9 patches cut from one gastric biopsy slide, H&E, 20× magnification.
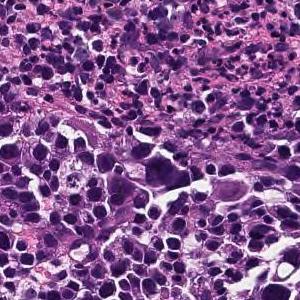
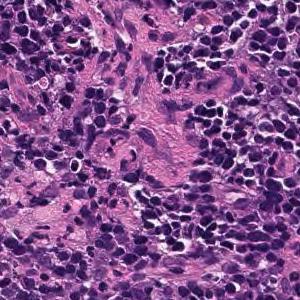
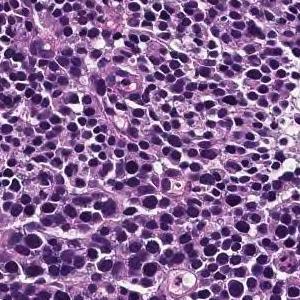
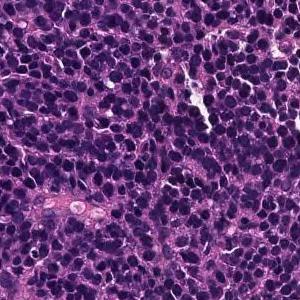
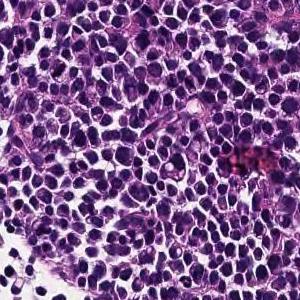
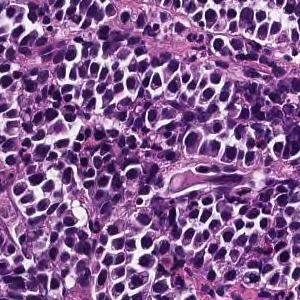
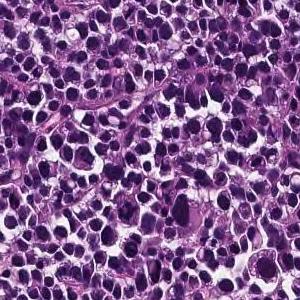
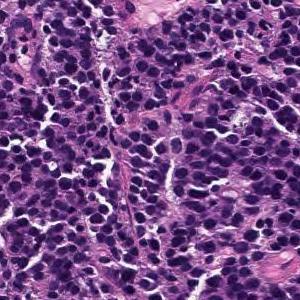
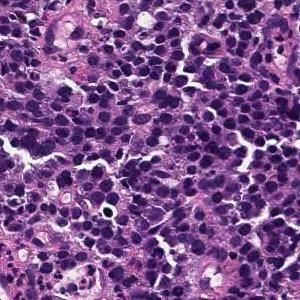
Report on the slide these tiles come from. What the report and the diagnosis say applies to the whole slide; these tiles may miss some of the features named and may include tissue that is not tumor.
Large sheet-like or diffusely infiltrating tumor tissue is found in the superficial epithelium. Poorly differentiated adenocarcinoma, solid-type
Histological subtype: Poorly differentiated adenocarcinoma, solid type. This name comes from the Japanese Classification of Gastric Carcinoma; the WHO 2019 classification calls it tubular adenocarcinoma, poorly differentiated.
